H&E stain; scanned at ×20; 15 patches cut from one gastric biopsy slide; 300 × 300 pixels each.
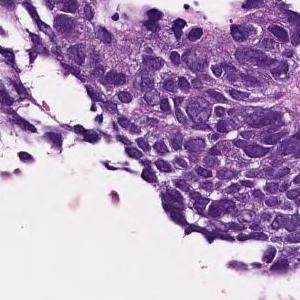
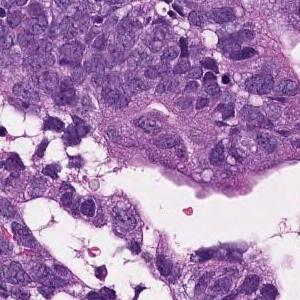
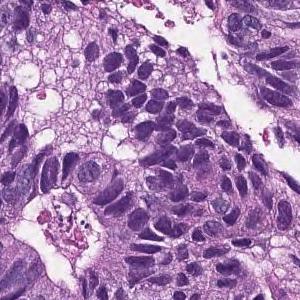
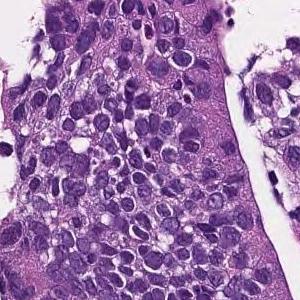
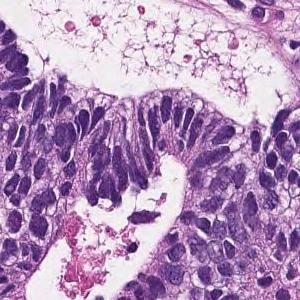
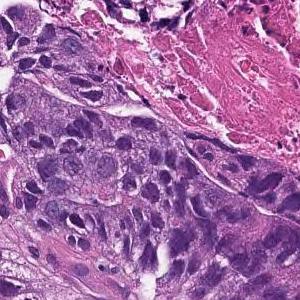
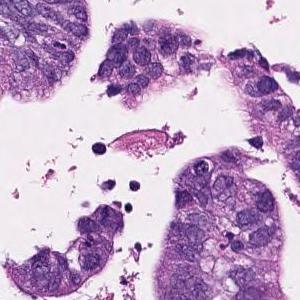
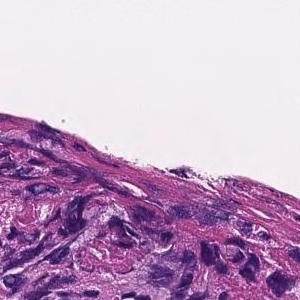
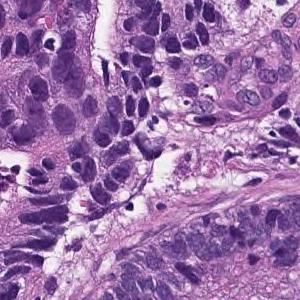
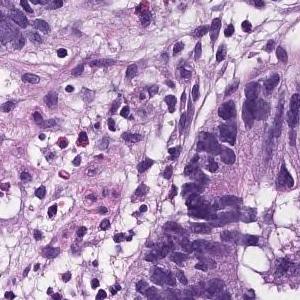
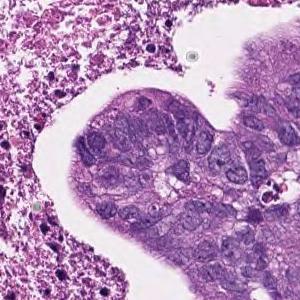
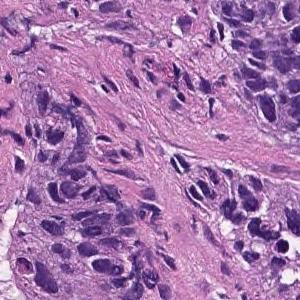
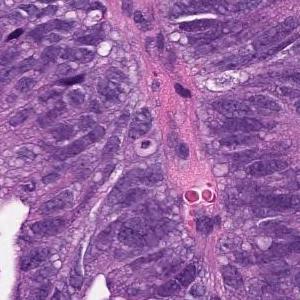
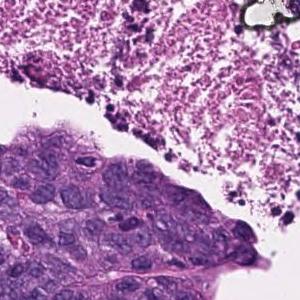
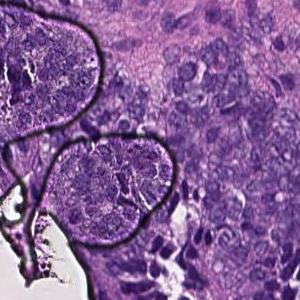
Pathology report for the slide these tiles were cut from. What the report and the diagnosis say applies to the whole slide; these tiles may miss some of the features named and may include tissue that is not tumor.
In the superficial epithelium, tumor tissue that invades by forming medium-sized to small, irregular ducts is observed. moderately differentiated tubular adenocarcinoma.
